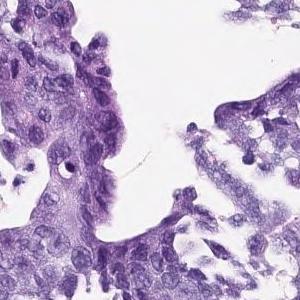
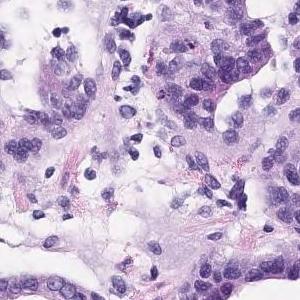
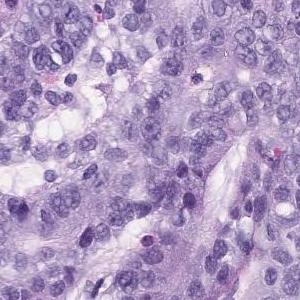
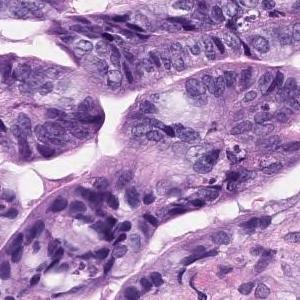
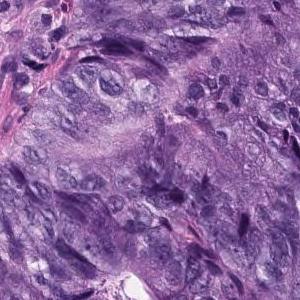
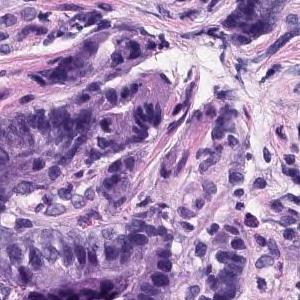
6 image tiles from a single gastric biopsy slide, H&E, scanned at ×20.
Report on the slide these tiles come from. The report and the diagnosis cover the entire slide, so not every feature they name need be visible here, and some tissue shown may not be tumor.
In the superficial epithelium, tumor tissue that invades by forming medium-sized to small, irregular ducts is observed. Well to moderately differentiated tubular adenocarcinoma.
